9 tiles from the same stomach biopsy slide, each 300 × 300 pixels.
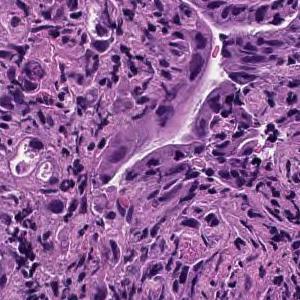
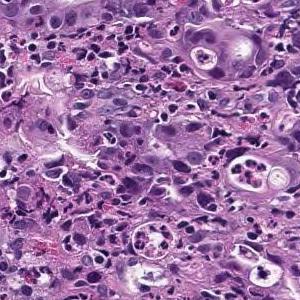
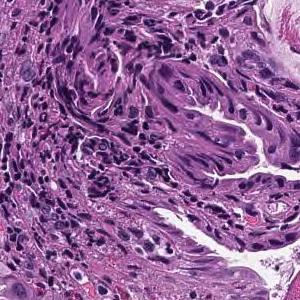
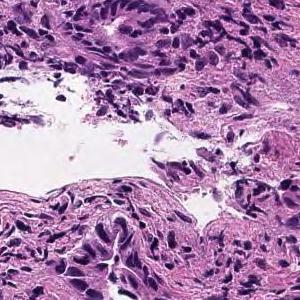
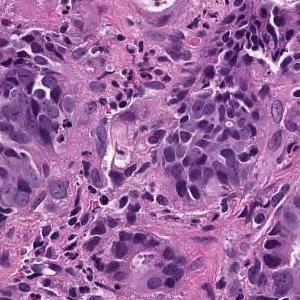
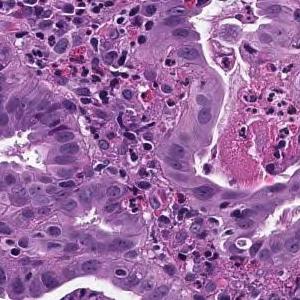
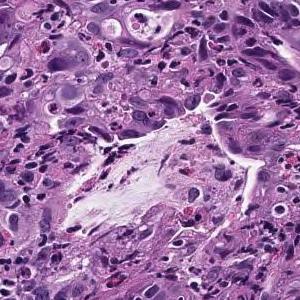
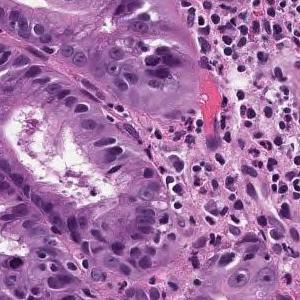
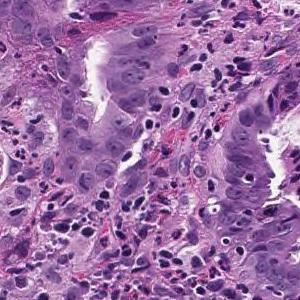
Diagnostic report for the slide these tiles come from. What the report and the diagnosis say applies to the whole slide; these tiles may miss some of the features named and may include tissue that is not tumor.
On the superficial epithelium, tumor tissue consisting of large, irregular glandular ducts partially fused and infiltrated is observed. Well to moderately differentiated tubular adenocarcinoma (well differentiated tubular adenocarcinoma, moderately differentiated tubular adenocarcinoma)
Subtype: Well to moderately differentiated tubular adenocarcinoma.
